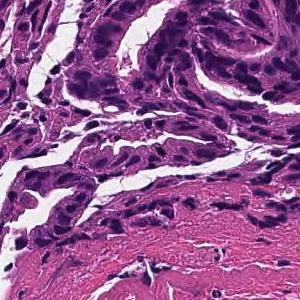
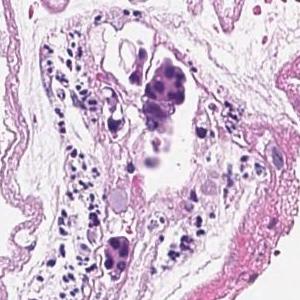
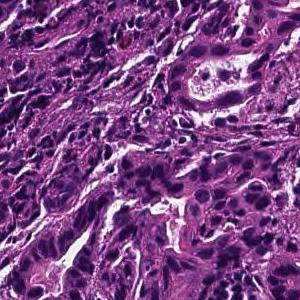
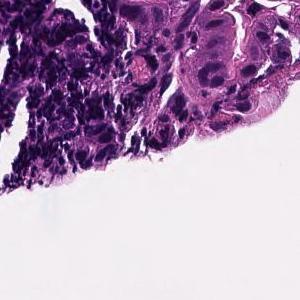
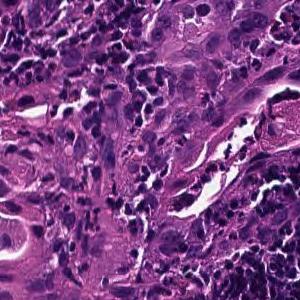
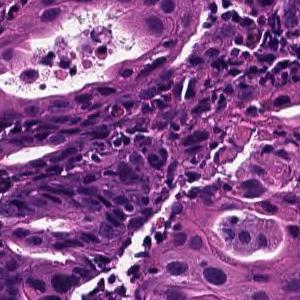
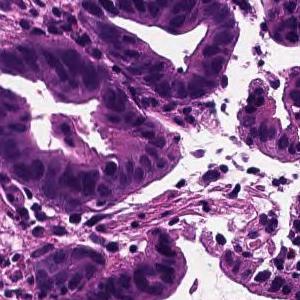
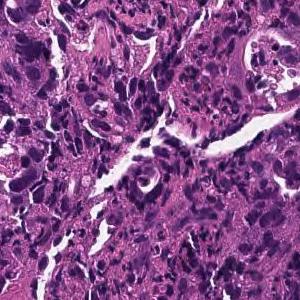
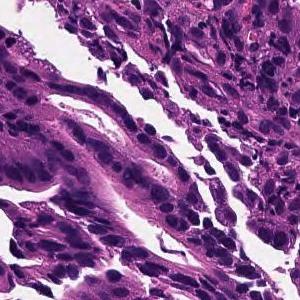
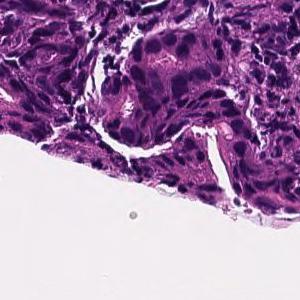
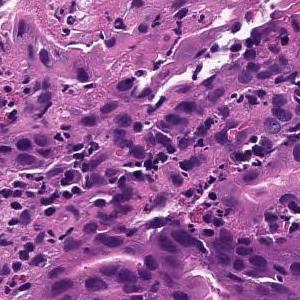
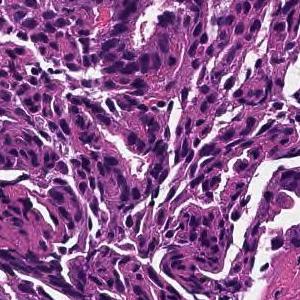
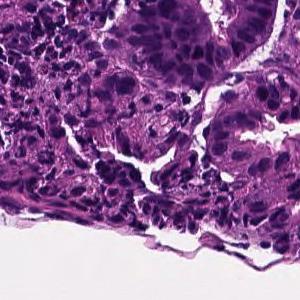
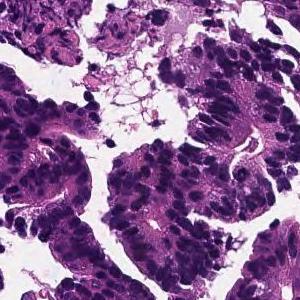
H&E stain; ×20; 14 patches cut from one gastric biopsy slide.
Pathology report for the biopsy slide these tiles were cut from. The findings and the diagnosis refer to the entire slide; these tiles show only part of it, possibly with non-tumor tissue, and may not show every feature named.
In the superficial epithelium, tumor tissue that invades by forming medium-sized to small, irregular ducts is observed. moderately differentiated tubular adenocarcinoma.
